7 patches cut from one gastric biopsy slide.
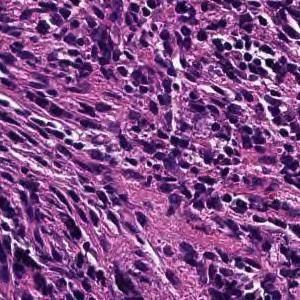
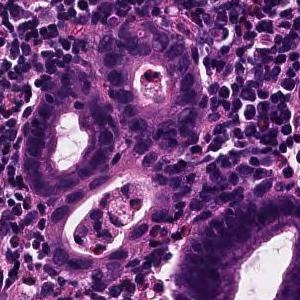
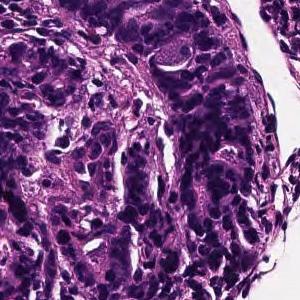
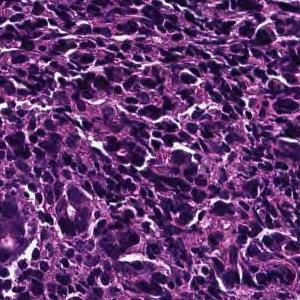
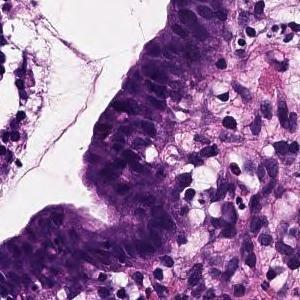
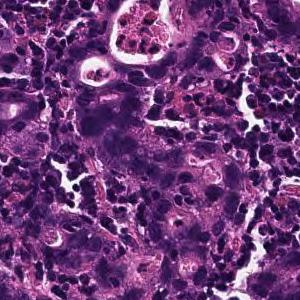
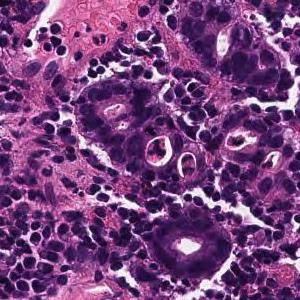
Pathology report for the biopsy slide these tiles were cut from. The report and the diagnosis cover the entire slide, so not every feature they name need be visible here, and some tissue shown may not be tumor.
On the superficial epithelium, tumor tissue is found in which medium-sized irregular gland ducts fuse with each other and infiltrate. moderately differentiated tubular adenocarcinoma or Poorly differentiated adenocarcinoma, non-solid type
Tumor subtype: moderately to poorly differentiated adenocarcinoma.
"Non-solid type" is a category of the Japanese Classification of Gastric Carcinoma.
